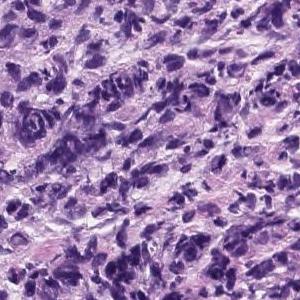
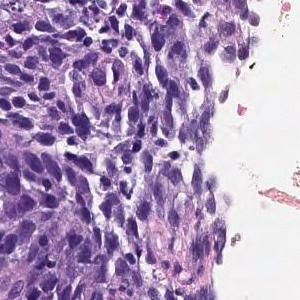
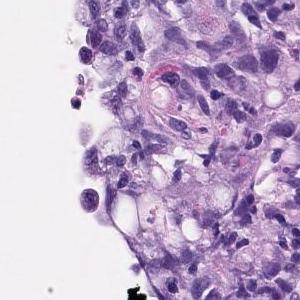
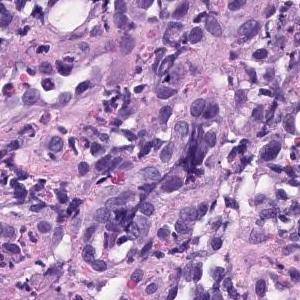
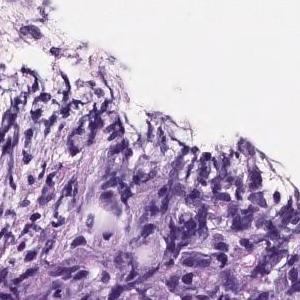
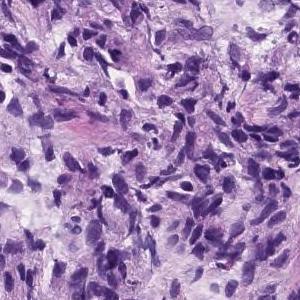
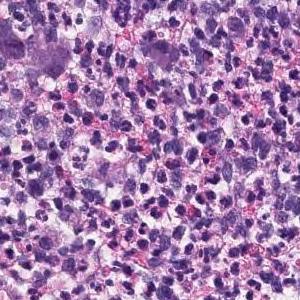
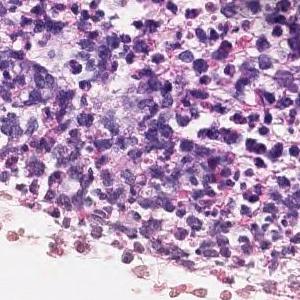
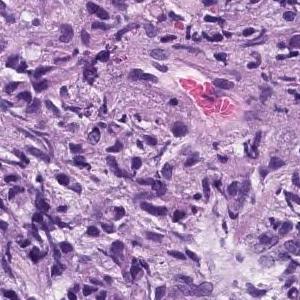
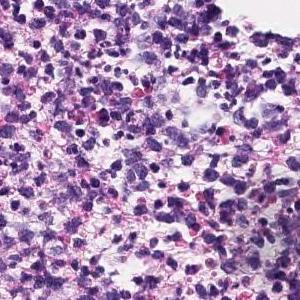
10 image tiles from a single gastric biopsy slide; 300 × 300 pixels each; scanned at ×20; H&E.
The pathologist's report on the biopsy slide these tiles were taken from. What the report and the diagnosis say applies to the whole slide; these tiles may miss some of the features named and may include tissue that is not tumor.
The superficial epithelium shows a large sheet-like shape, and some tumor tissue infiltrates with small irregular ducts. Poorly differentiated adenocarcinoma, solid-type
Classified as poorly differentiated adenocarcinoma, solid type, a category of the Japanese Classification of Gastric Carcinoma; in the WHO 2019 classification it is tubular adenocarcinoma, poorly differentiated.
